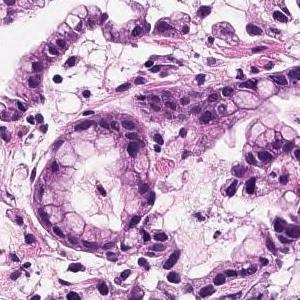
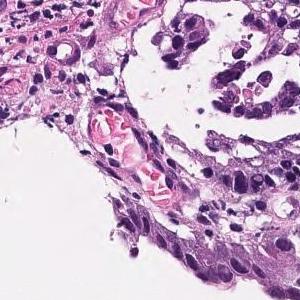
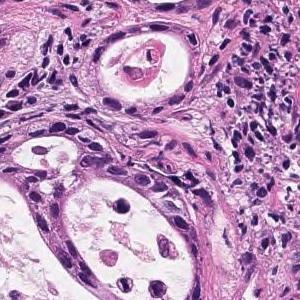
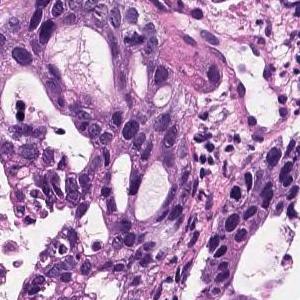
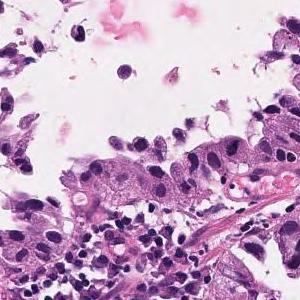
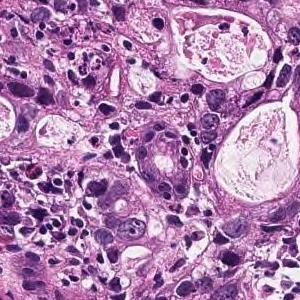
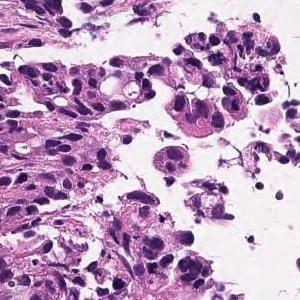
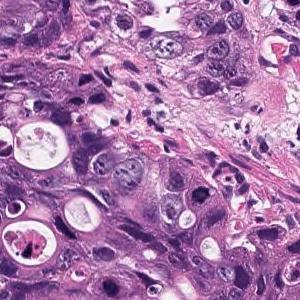
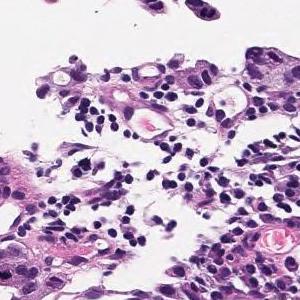
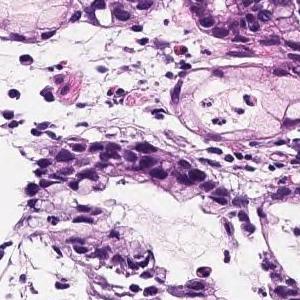
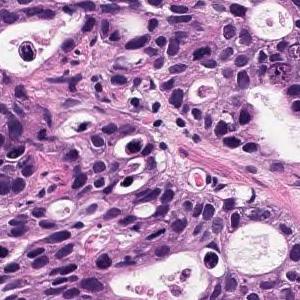
H&E stain · 11 patches cut from one gastric biopsy slide.
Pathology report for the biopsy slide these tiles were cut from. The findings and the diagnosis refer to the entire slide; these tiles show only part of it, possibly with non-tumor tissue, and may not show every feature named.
In the superficial epithelium, tumor tissue that invades by forming medium-sized to small, irregular ducts is observed. Moderately differentiated adenocarcinoma.
Histologic type: Moderately differentiated tubular adenocarcinoma.
